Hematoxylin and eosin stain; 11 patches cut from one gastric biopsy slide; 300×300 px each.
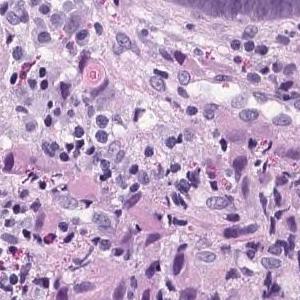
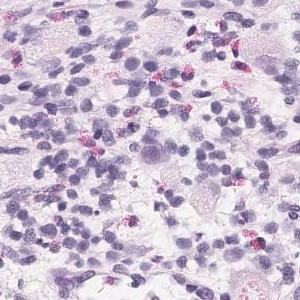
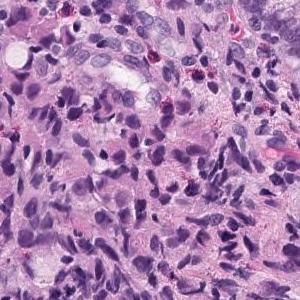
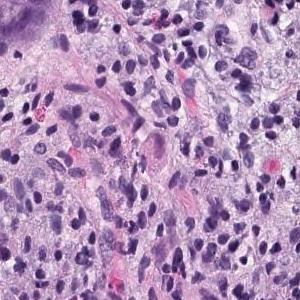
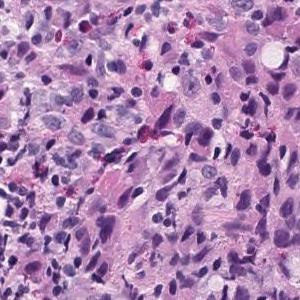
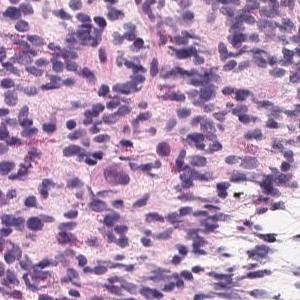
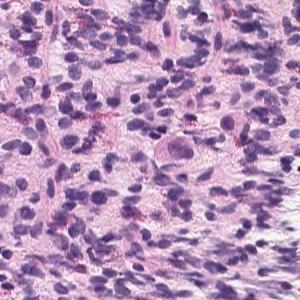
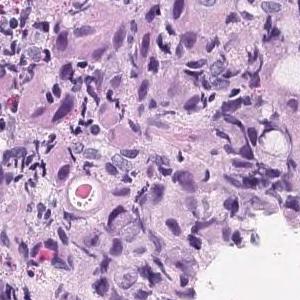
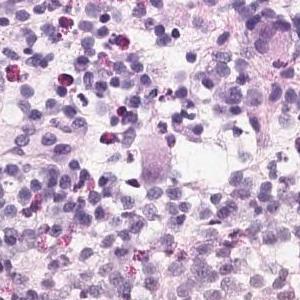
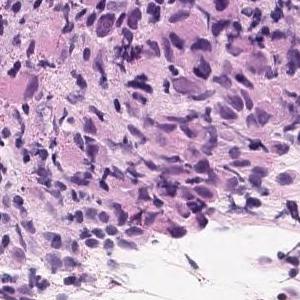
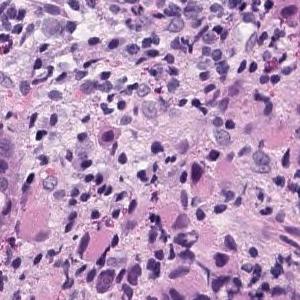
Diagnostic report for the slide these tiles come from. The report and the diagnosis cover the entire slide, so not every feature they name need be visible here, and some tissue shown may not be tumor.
Solid proliferation of signet ring cell carcinoma cells. Signet ring cell carcinoma.
